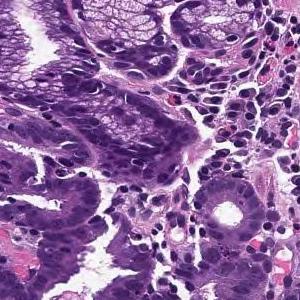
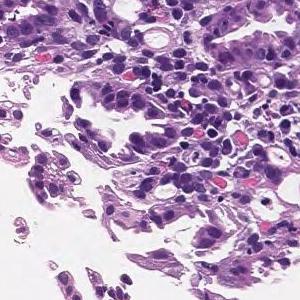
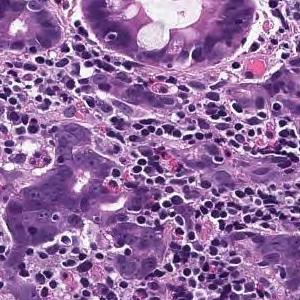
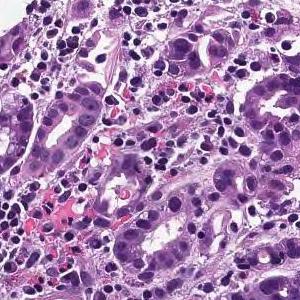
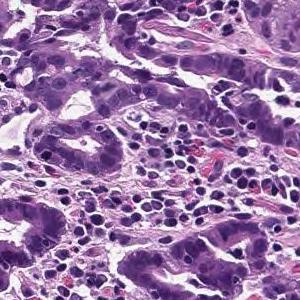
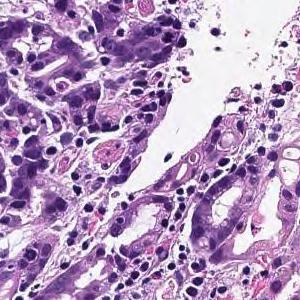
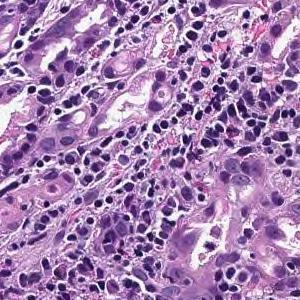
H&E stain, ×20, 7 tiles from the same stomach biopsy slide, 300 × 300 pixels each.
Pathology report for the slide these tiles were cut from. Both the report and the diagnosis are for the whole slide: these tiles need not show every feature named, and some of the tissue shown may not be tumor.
In the superficial epithelium, tumor tissue that invades by forming medium-sized to small, irregular ducts is observed. moderately differentiated tubular adenocarcinoma.
